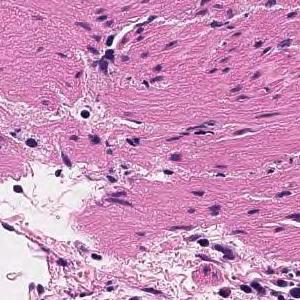
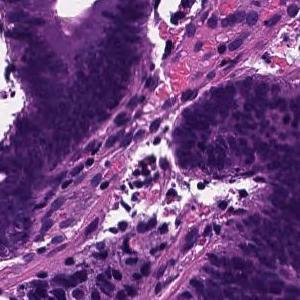
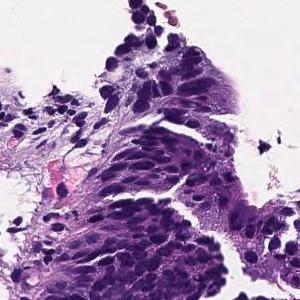
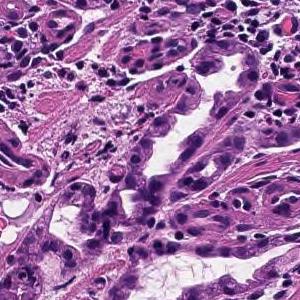
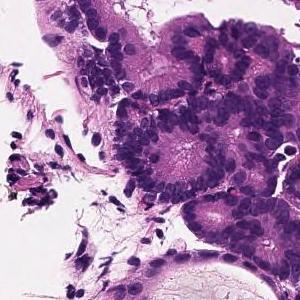
Scanned at ×20 · hematoxylin and eosin stain · 5 image tiles from a single gastric biopsy slide · 300×300 px each.
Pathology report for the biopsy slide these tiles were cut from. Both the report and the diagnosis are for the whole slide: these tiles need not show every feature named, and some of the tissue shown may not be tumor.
Tumor tissue consisting of large papillary structures is found in the superficial epithelium. Papillary adenocarcinoma.
